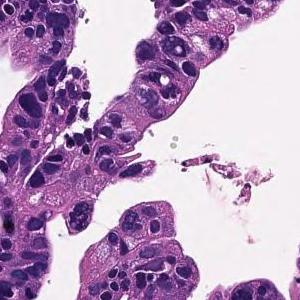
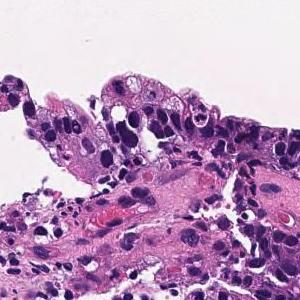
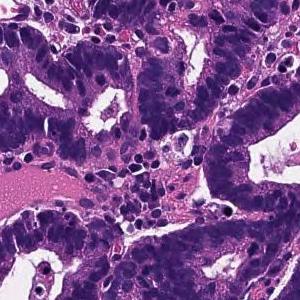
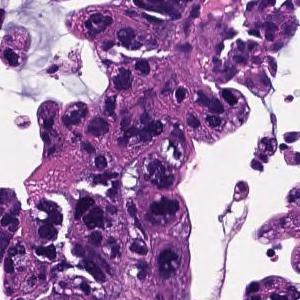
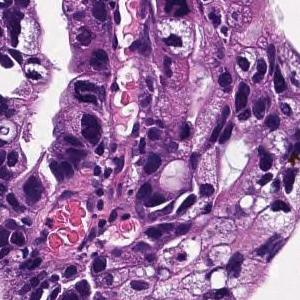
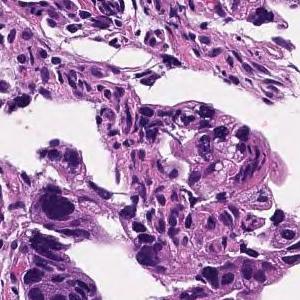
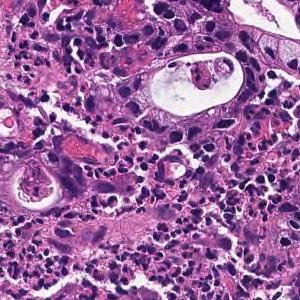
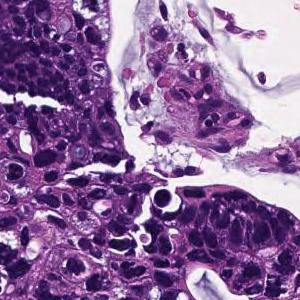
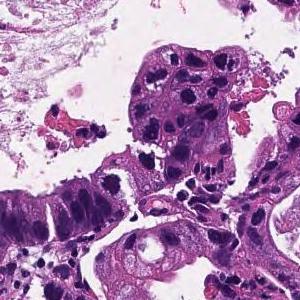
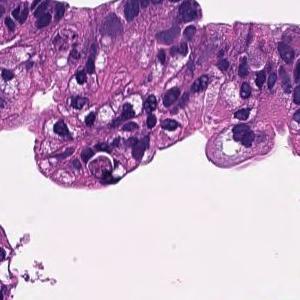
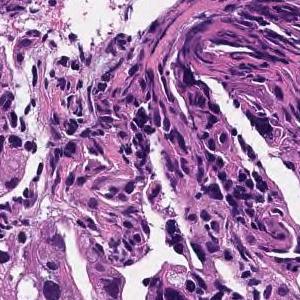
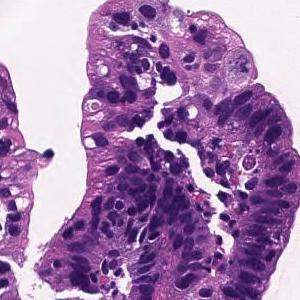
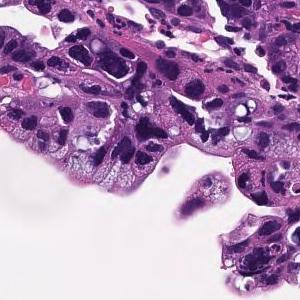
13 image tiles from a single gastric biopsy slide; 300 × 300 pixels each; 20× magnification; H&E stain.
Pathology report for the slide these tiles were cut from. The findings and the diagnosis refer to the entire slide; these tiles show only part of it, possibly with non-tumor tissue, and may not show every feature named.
In the superficial epithelium, tumor tissue that invades by forming medium-sized to small, irregular ducts is observed. moderately differentiated tubular adenocarcinoma.
